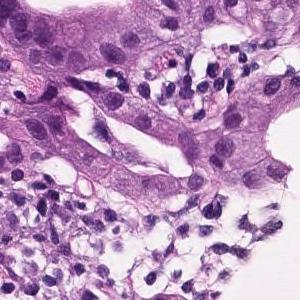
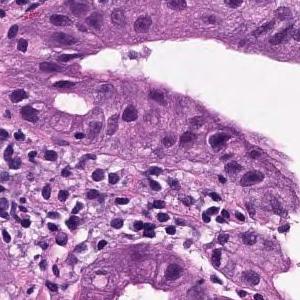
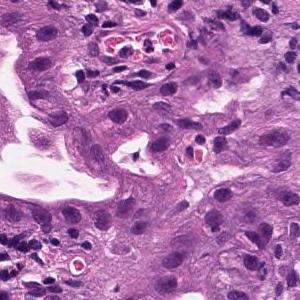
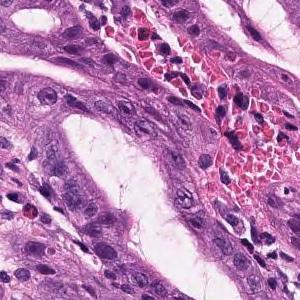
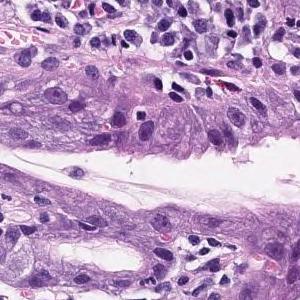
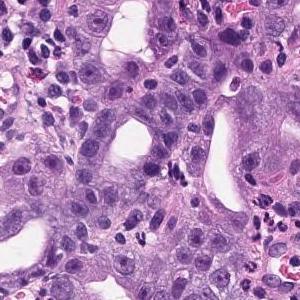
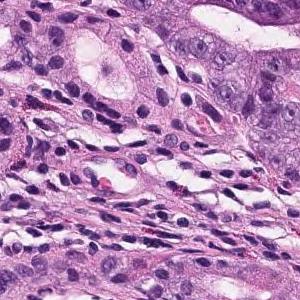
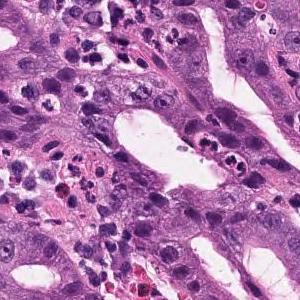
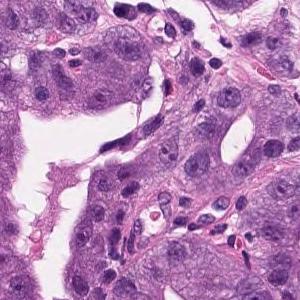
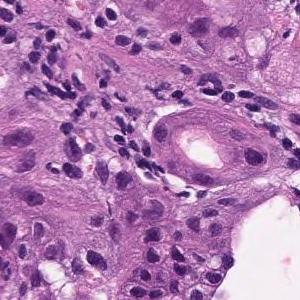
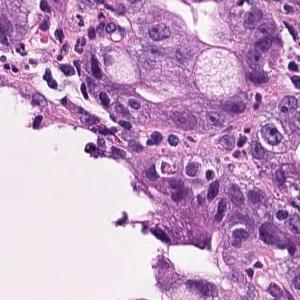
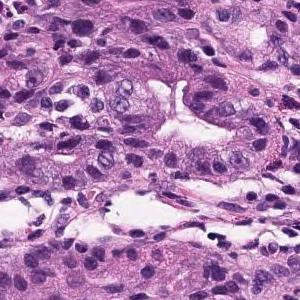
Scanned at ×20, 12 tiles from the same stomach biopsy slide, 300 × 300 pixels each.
The pathologist's report on the biopsy slide these tiles were taken from. The report describes the whole slide, diagnosis included: not every finding it names need appear in these tiles, which may also show non-tumor tissue.
In the superficial epithelium, tumor tissue that invades by forming medium-sized to small, irregular ducts is observed. Well to moderately differentiated adenocarcinoma (well differentiated tubular adenocarcinoma, moderately differentiated tubular adenocarcinoma).
Classified as well to moderately differentiated tubular adenocarcinoma.
